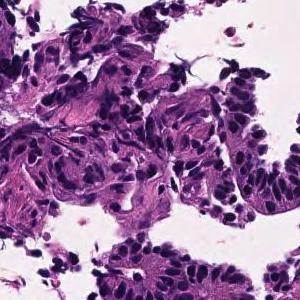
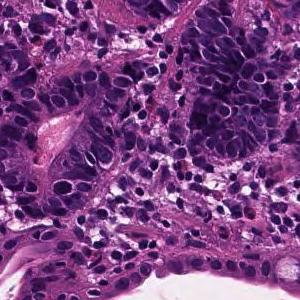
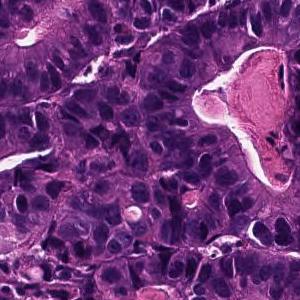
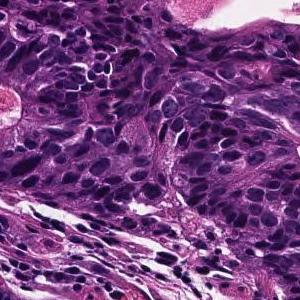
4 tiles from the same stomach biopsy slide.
Diagnostic report for the slide these tiles come from. The report and the diagnosis describe the slide as a whole, so these tiles may not show every feature named and may include non-tumor tissue.
In the superficial epithelium, tumor tissue that invades by forming medium-sized to small, irregular ducts is observed. moderately differentiated tubular adenocarcinoma.
